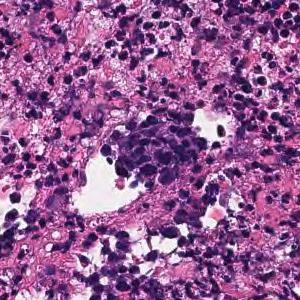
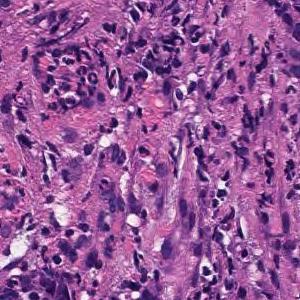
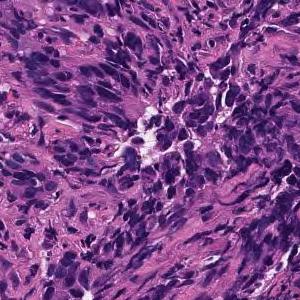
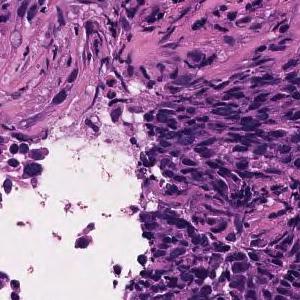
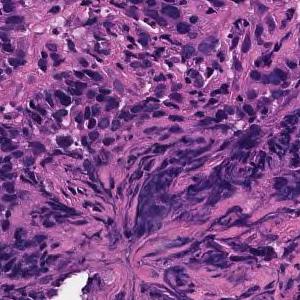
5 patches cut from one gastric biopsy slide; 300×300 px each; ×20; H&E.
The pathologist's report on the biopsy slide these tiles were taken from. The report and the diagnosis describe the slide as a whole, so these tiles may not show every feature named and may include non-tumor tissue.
Tumor tissue consisting of cord-like or small, irregular glandular ducts fused and infiltrated is observed in the superficial epithelium. Poorly differentiated adenocarcinoma, non-solid type
"Non-solid type" is a category of the Japanese Classification of Gastric Carcinoma.
